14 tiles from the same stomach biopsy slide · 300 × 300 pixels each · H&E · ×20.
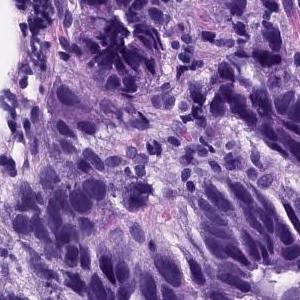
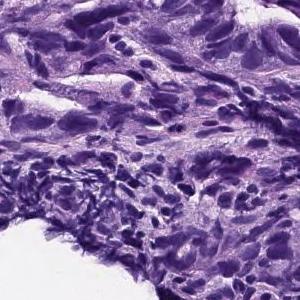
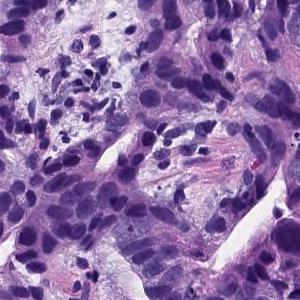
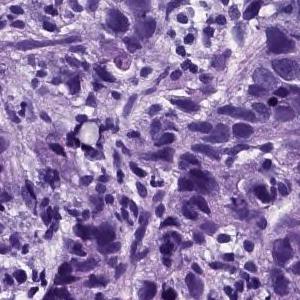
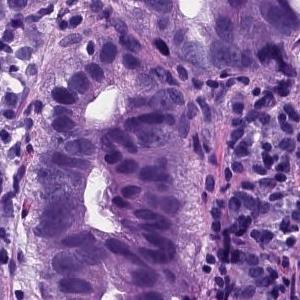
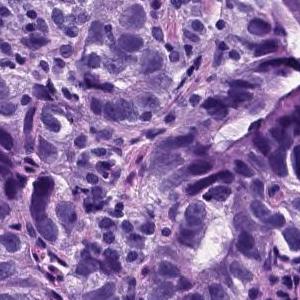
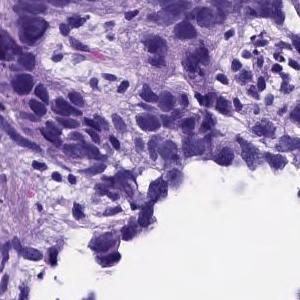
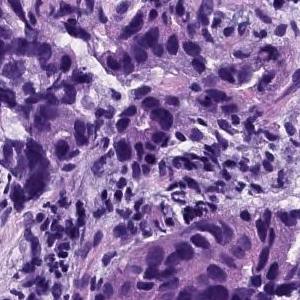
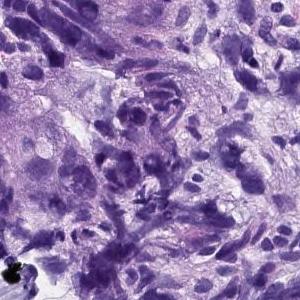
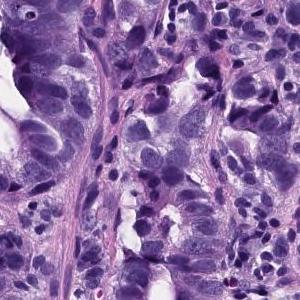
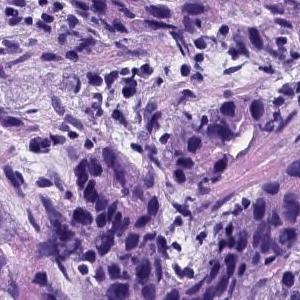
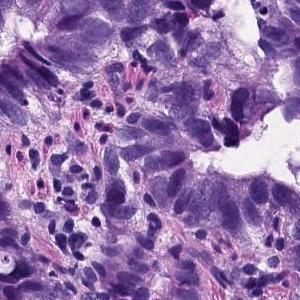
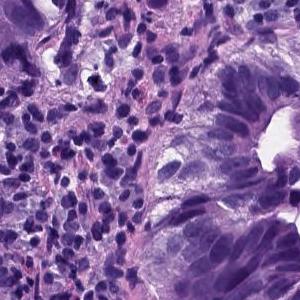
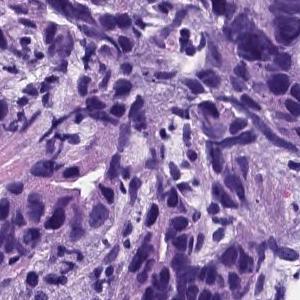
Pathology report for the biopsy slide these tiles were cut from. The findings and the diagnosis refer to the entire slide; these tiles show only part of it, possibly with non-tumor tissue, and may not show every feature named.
In the superficial epithelium, tumor tissue that invades by forming medium-sized to small, irregular ducts is observed. Moderately differentiated adenocarcinoma.
Classified as moderately differentiated tubular adenocarcinoma.
